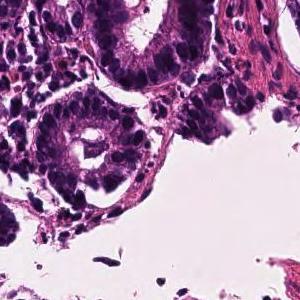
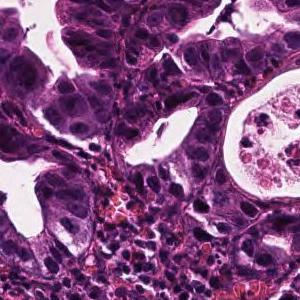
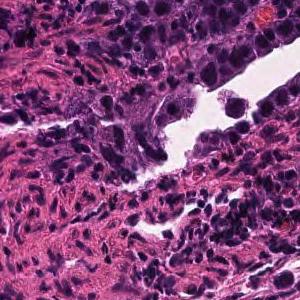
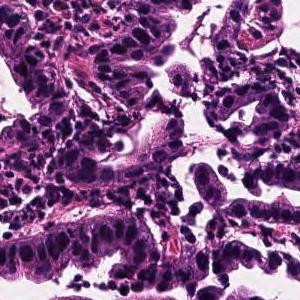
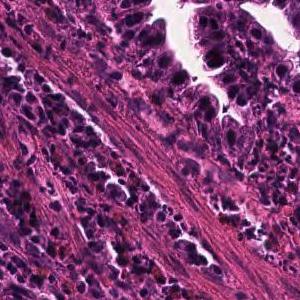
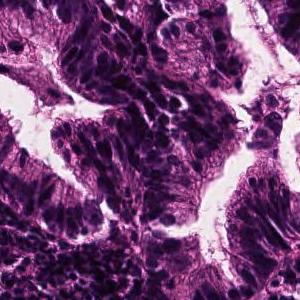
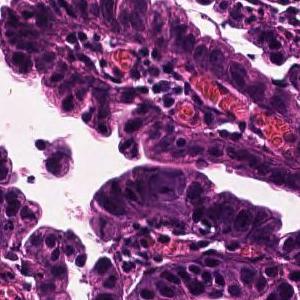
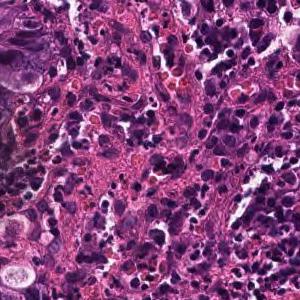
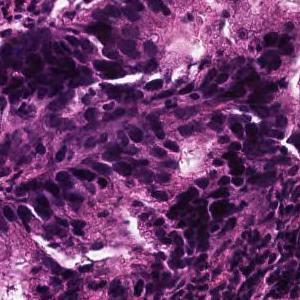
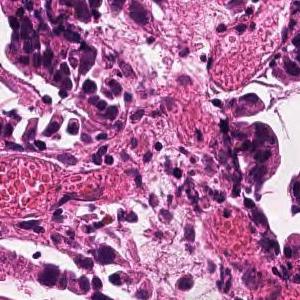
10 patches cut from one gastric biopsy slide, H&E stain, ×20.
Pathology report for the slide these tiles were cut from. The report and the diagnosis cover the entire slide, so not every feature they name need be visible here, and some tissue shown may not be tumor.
Tumor tissue consisting of large papillary structures is found in the superficial epithelium. Papillary adenocarcinoma.
